20× magnification, H&E, 10 tiles from the same stomach biopsy slide.
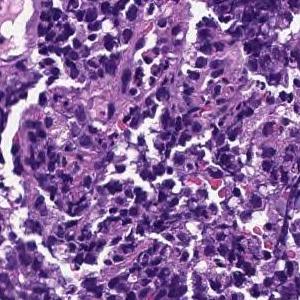
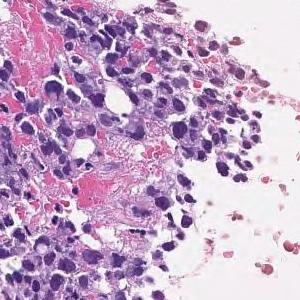
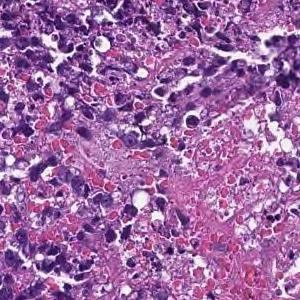
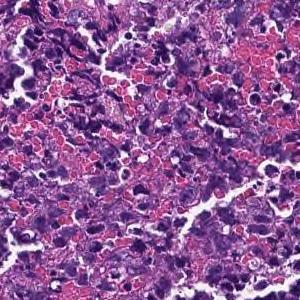
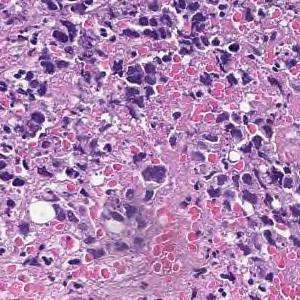
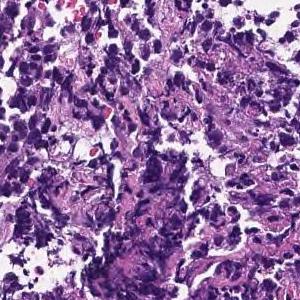
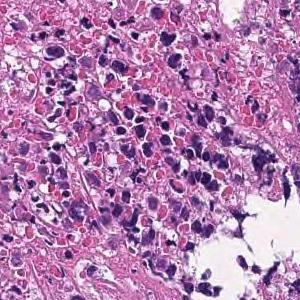
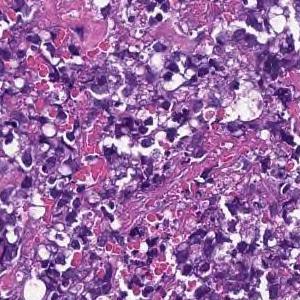
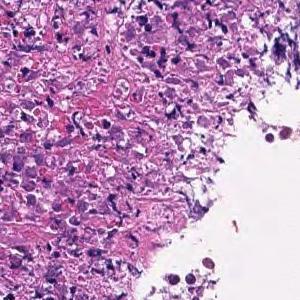
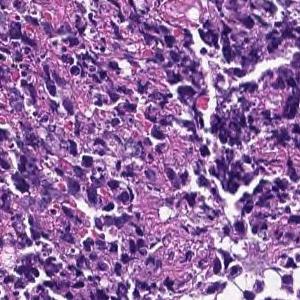
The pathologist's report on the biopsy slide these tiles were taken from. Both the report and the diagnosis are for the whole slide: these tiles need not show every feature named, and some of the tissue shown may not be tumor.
Most are composed of coagulative necrotic tissue, but some show a large sheet-like shape, and some show tumor tissue infiltrating with a small cord-like structure. Poorly differentiated adenocarcinoma, solid-type
Histologic type: Poorly differentiated adenocarcinoma, solid type (Japanese Classification of Gastric Carcinoma). The WHO 2019 equivalent is tubular adenocarcinoma, poorly differentiated.
